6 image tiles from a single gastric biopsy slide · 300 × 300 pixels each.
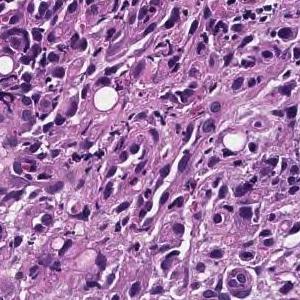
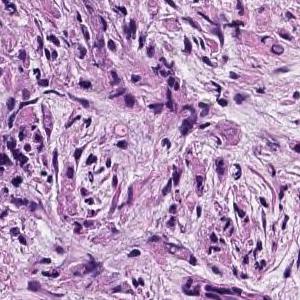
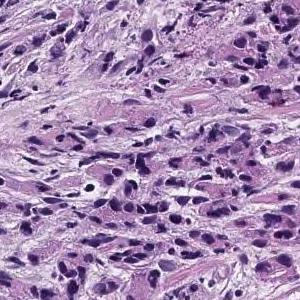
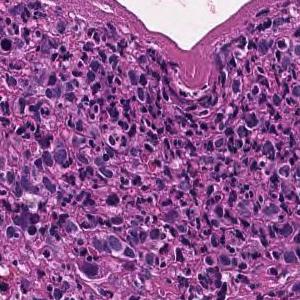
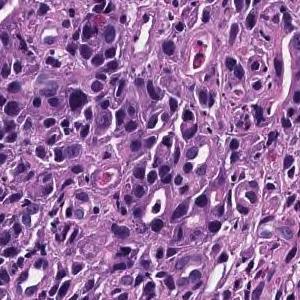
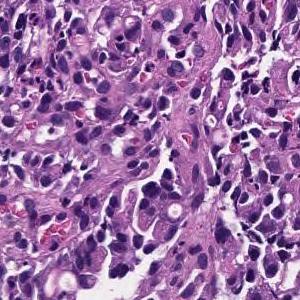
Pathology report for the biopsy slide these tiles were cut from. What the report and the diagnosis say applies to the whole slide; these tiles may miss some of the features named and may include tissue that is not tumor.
The superficial epithelium shows a large sheet-like shape, and some tumor tissue infiltrates with small irregular ducts. Poorly differentiated adenocarcinoma, solid-type
Classified as poorly differentiated adenocarcinoma, solid type (Japanese Classification of Gastric Carcinoma). The WHO 2019 equivalent is tubular adenocarcinoma, poorly differentiated.
